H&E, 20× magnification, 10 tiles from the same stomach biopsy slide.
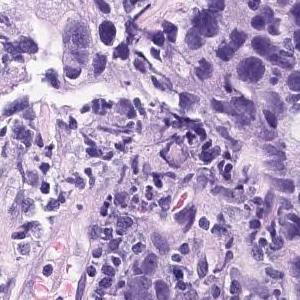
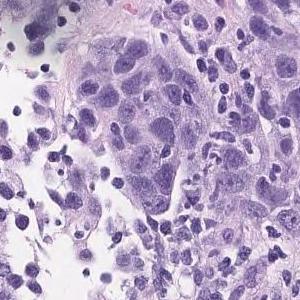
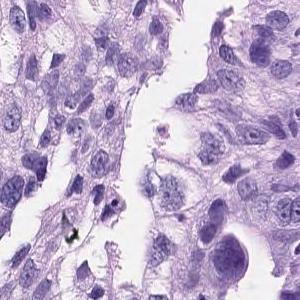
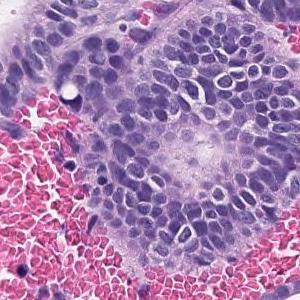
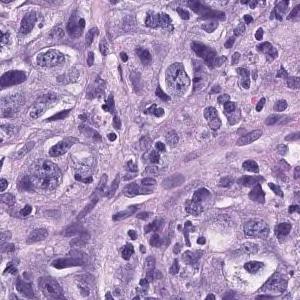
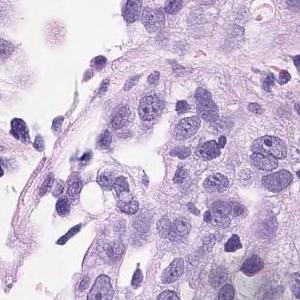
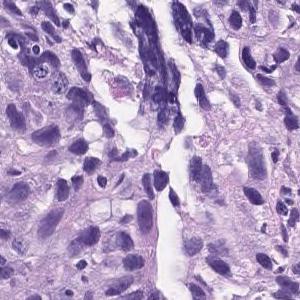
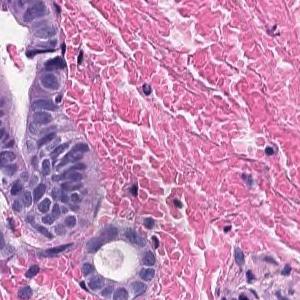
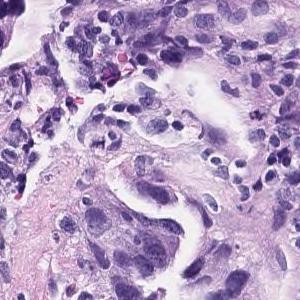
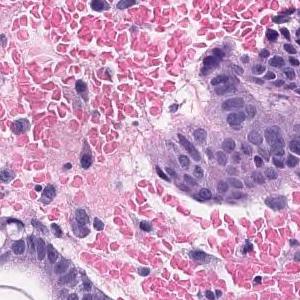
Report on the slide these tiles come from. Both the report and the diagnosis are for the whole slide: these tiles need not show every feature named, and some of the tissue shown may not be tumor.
The superficial epithelium shows a large sheet-like shape, and some tumor tissue infiltrates with small irregular ducts. Poorly differentiated adenocarcinoma, solid-type
Tumor subtype: poorly differentiated adenocarcinoma, solid type (Japanese Classification of Gastric Carcinoma). The WHO 2019 equivalent is tubular adenocarcinoma, poorly differentiated.
